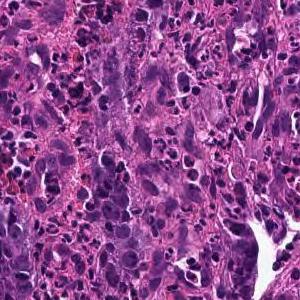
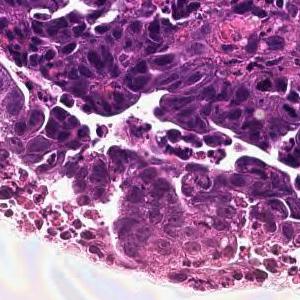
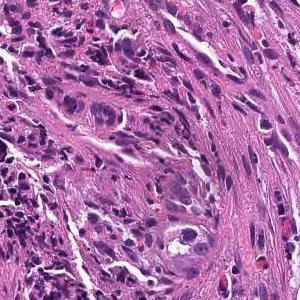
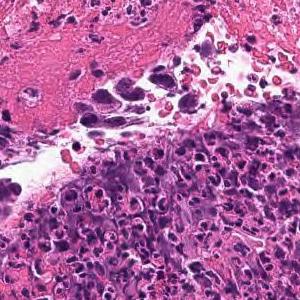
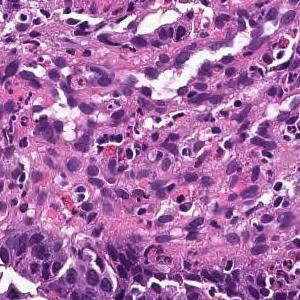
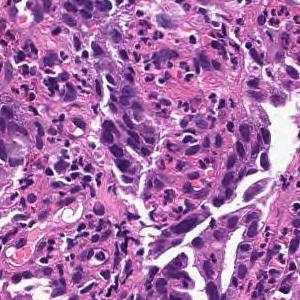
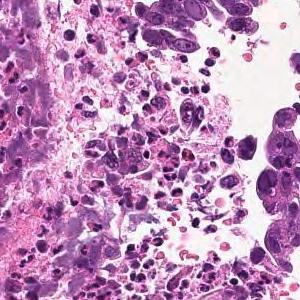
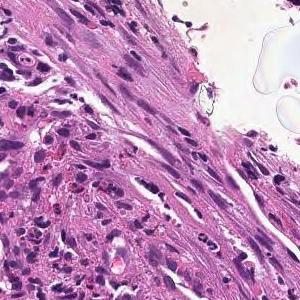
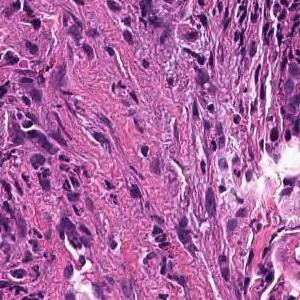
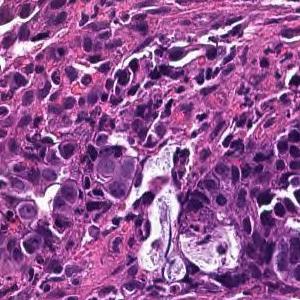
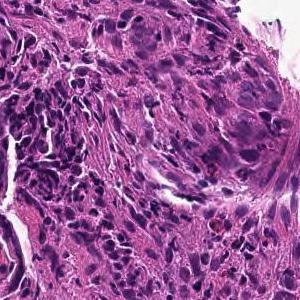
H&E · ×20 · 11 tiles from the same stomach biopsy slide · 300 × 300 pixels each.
Report on the slide these tiles come from. What the report and the diagnosis say applies to the whole slide; these tiles may miss some of the features named and may include tissue that is not tumor.
In the superficial epithelium, tumor tissue that invades by forming medium-sized to small, irregular ducts is observed. moderately differentiated tubular adenocarcinoma.
